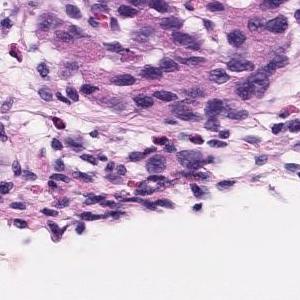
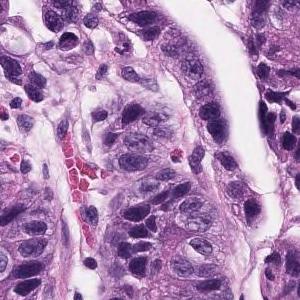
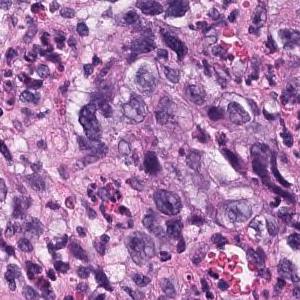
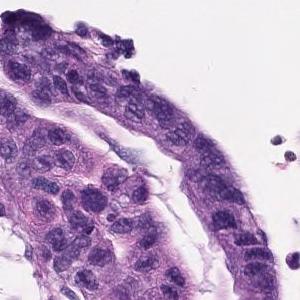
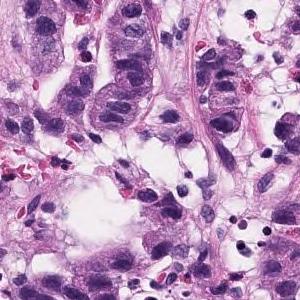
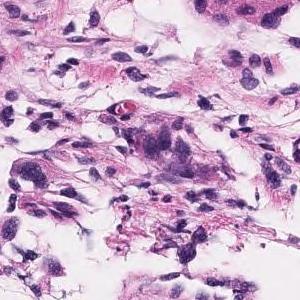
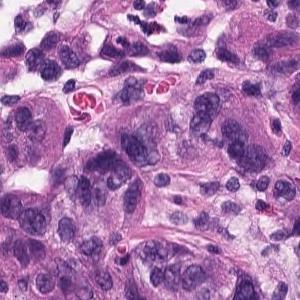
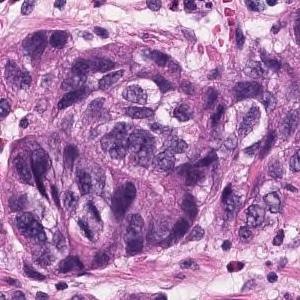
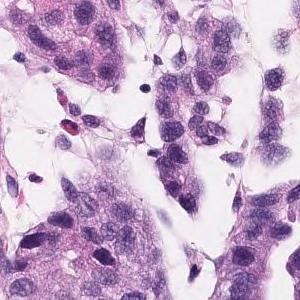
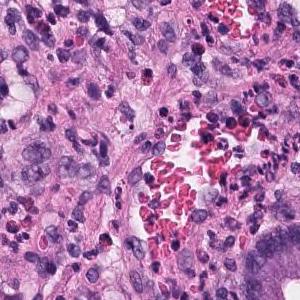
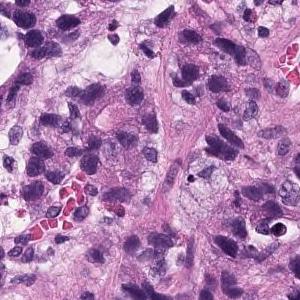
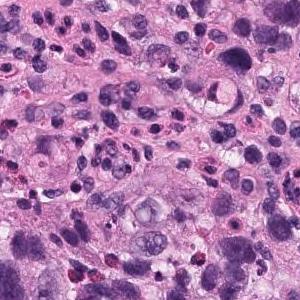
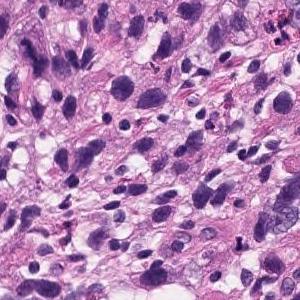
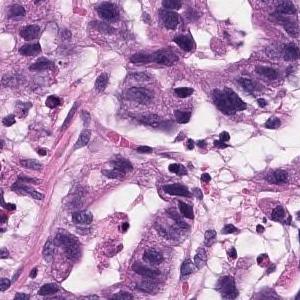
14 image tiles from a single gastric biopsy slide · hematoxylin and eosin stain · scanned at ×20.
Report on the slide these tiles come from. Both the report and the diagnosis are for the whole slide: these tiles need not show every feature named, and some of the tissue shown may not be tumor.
Atypical l cells with atypical nuclei forming diffuse or small irregular atypical ducts and growing. Moderately to poorly differentiated adenocarcinoma (poorly differentiated adenocarcinoma, solid type, moderately differentiated tubular adenocarcinoma)
Histologic type: Moderately to poorly differentiated adenocarcinoma.
"Solid type" is a category of the Japanese Classification of Gastric Carcinoma; in the WHO 2019 classification it is tubular adenocarcinoma, poorly differentiated.
